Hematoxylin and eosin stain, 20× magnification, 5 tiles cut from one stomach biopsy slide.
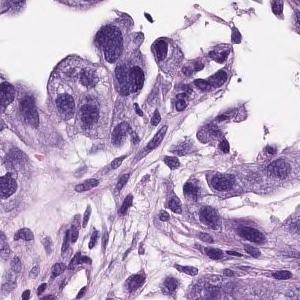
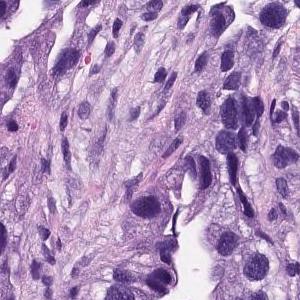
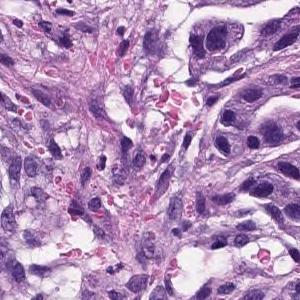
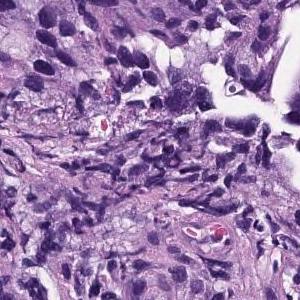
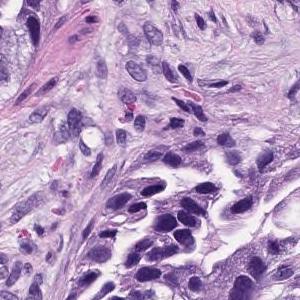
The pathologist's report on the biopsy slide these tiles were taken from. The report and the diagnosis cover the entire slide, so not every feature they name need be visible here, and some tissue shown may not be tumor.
gastric mucosal tissue with atypical glandular proliferation arranged in tubules and acini. The tumor cells showed hyperchromatic nuclei, high N/C ratio and loss of polarity. Tubular adenocarcinoma of stomach, moderately differentiated.
Classified as moderately differentiated tubular adenocarcinoma.
